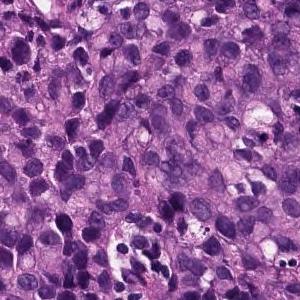
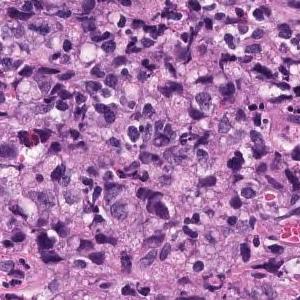
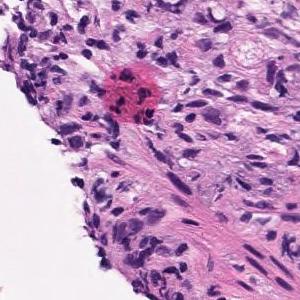
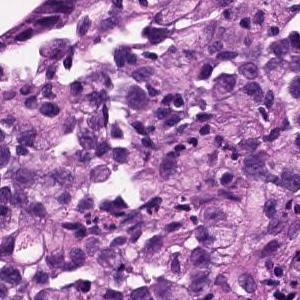
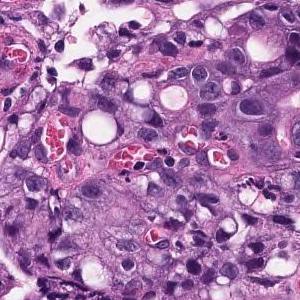
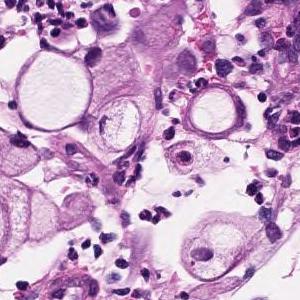
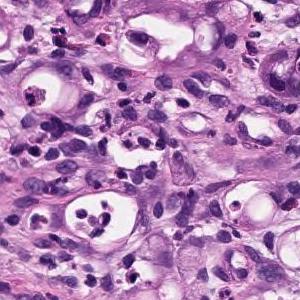
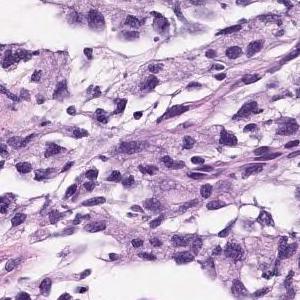
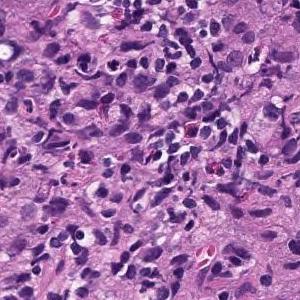
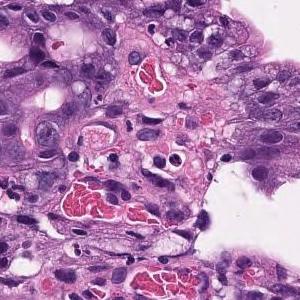
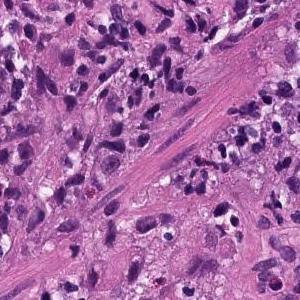
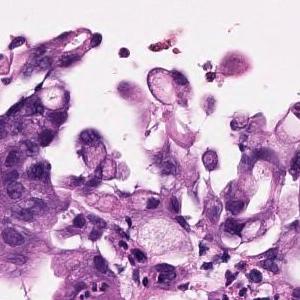
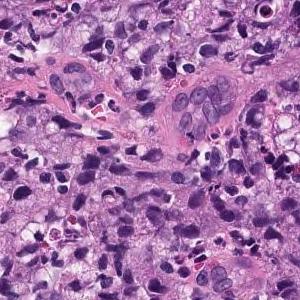
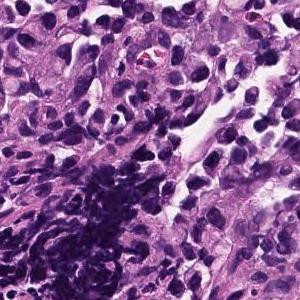
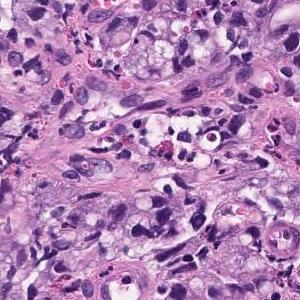
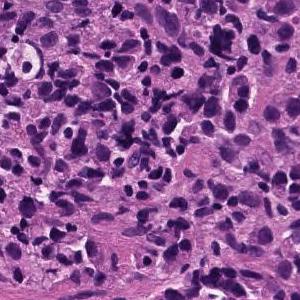
×20 · 16 image tiles from a single gastric biopsy slide · 300×300 px each.
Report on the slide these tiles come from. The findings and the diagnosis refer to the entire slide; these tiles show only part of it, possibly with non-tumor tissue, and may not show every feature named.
Atypical epithelium forms irregularly fused gland ducts and proliferates. Poorly differentiated adenocarcinoma.
Subtype: Poorly differentiated adenocarcinoma, non-solid type.
"Non-solid type" is a category of the Japanese Classification of Gastric Carcinoma.
